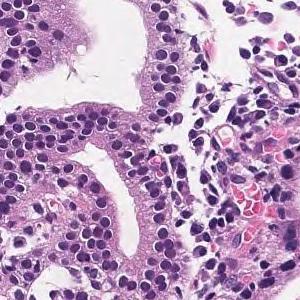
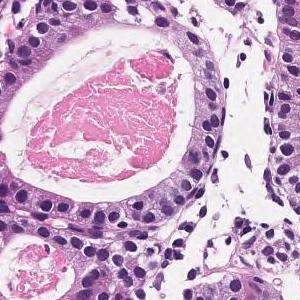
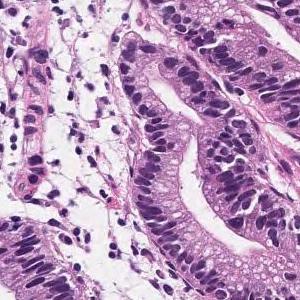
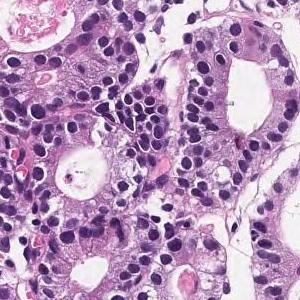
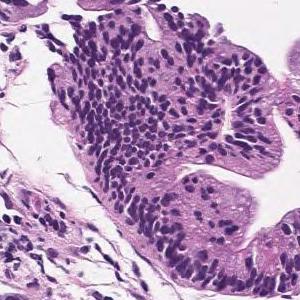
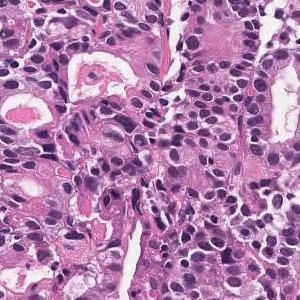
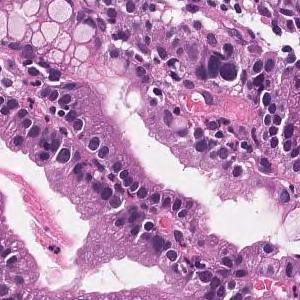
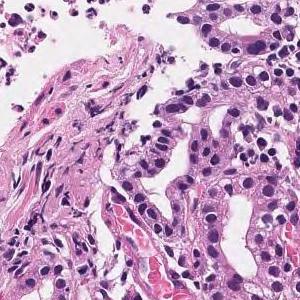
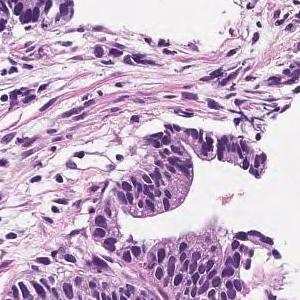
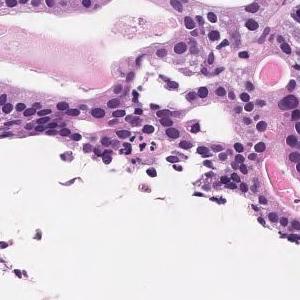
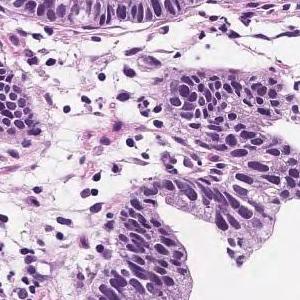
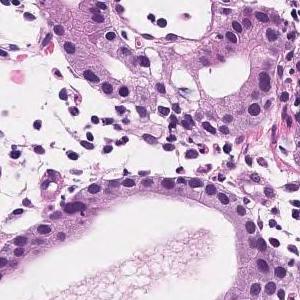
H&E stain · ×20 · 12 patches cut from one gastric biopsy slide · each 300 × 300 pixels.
Pathology report for the slide these tiles were cut from. Both the report and the diagnosis are for the whole slide: these tiles need not show every feature named, and some of the tissue shown may not be tumor.
Medium to small, irregular glandular ducts are formed in the superficial epithelium, and in some cases, the glandular ducts are fused to show solid alveolar lesions and infiltrating tumor tissue is observed. Moderately to poorly differentiated adenocarcinoma.
